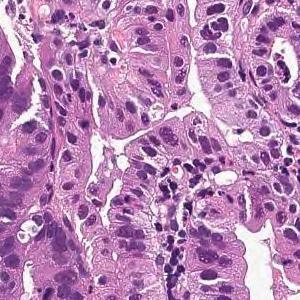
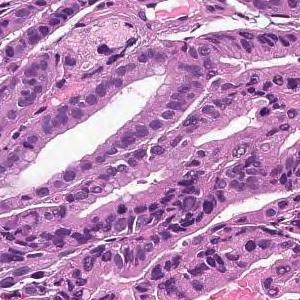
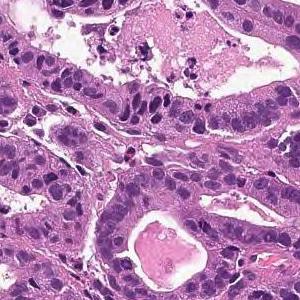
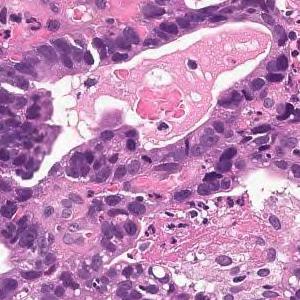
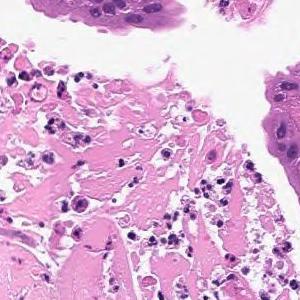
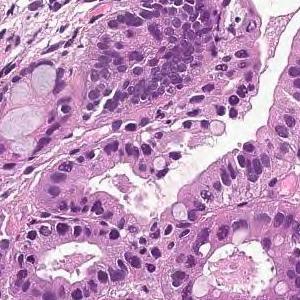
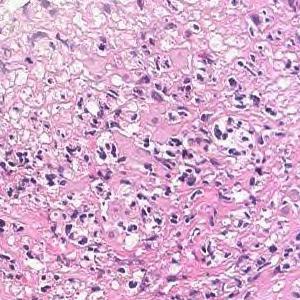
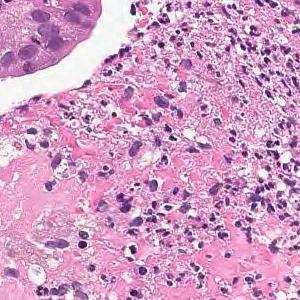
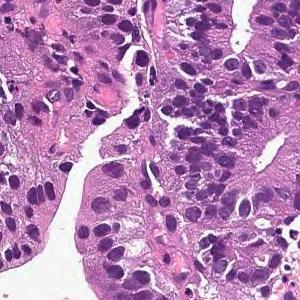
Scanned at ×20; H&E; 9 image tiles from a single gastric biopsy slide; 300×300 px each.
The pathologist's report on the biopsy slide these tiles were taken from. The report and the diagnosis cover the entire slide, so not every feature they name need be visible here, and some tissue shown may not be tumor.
From the superficial epithelium to the muscularis mucosae, tumor tissue consisting of medium-sized and irregular glandular ducts infiltrating is observed. Well differentiated tubular adenocarcinoma
